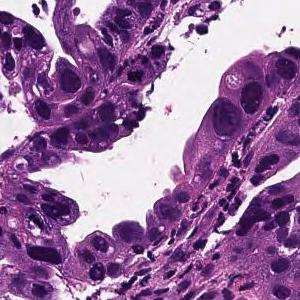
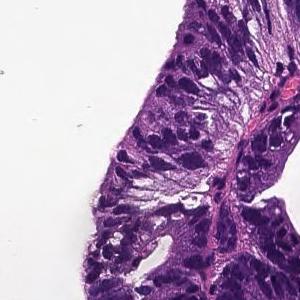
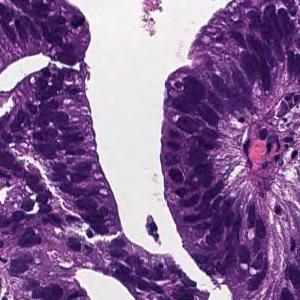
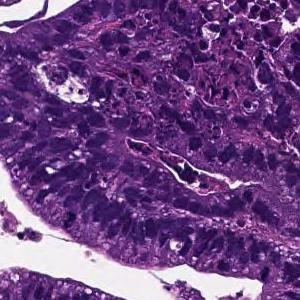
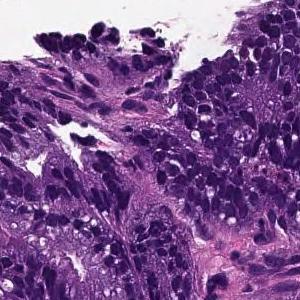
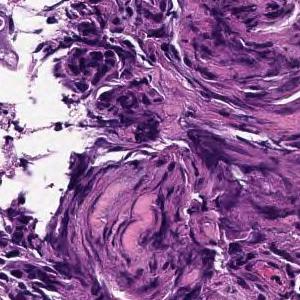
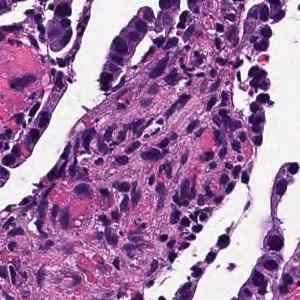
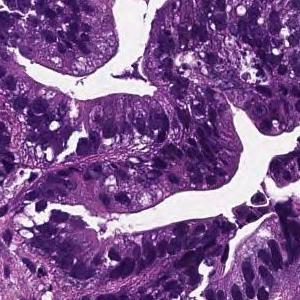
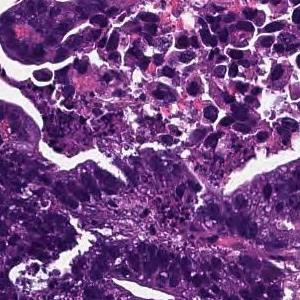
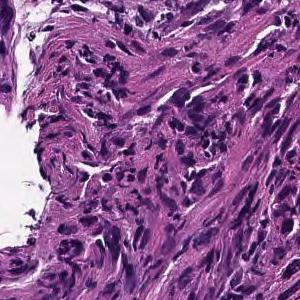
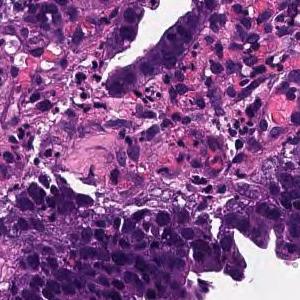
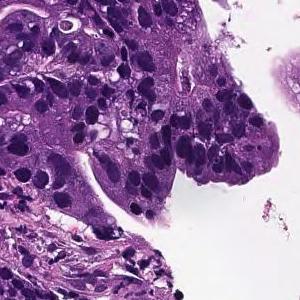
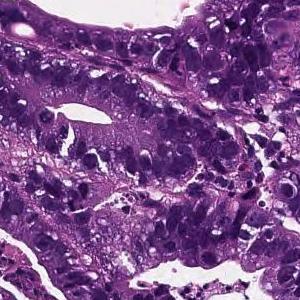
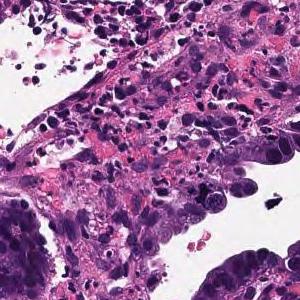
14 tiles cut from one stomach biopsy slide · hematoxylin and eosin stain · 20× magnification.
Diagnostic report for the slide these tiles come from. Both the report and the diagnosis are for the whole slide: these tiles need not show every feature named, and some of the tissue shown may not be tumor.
Tumor cells are large, highly columnar, large club-shaped nuclei, and are associated with chromatin aggregation. Papillary adenocarcinoma.
